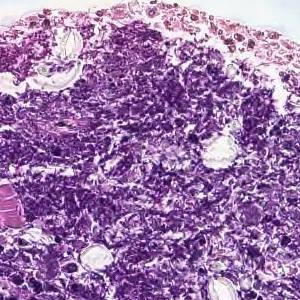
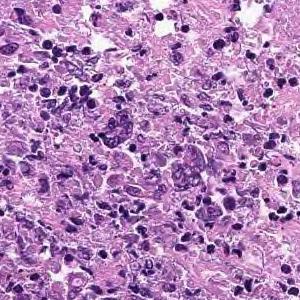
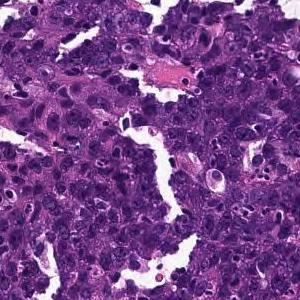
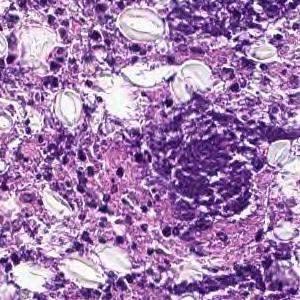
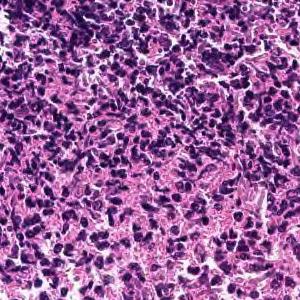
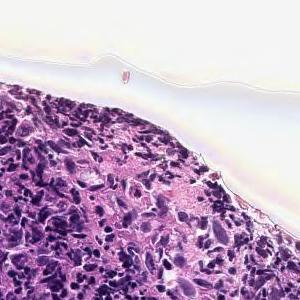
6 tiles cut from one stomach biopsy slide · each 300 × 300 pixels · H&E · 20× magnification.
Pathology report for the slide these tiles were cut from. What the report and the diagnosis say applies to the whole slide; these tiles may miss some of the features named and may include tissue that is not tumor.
Cancers with polygonal nuclei do not show glandular formation and are densely, in part, cord-like and proliferate. Poorly differentiated adenocarcinoma
Histological subtype: Poorly differentiated adenocarcinoma, non-solid type.
The term "non-solid type" comes from the Japanese Classification of Gastric Carcinoma.
